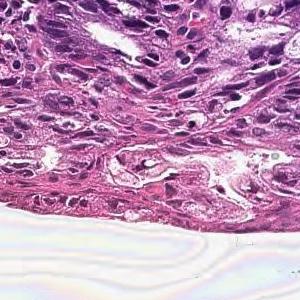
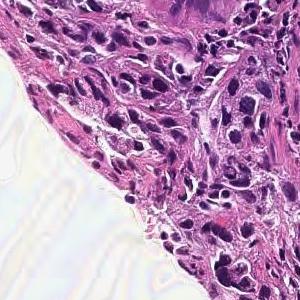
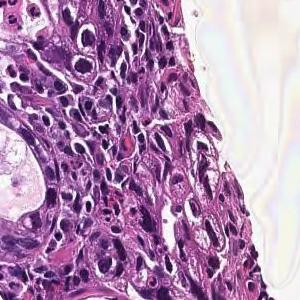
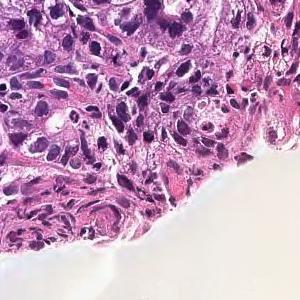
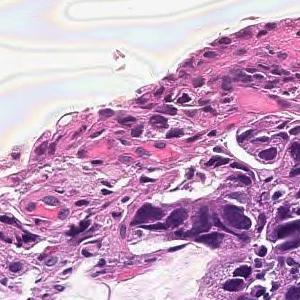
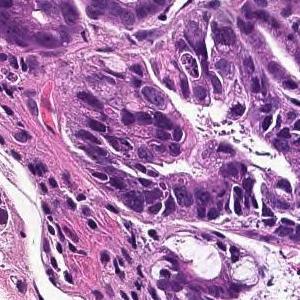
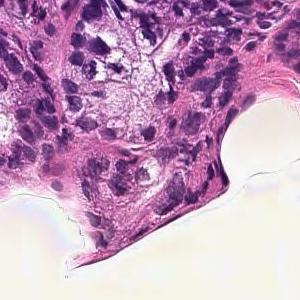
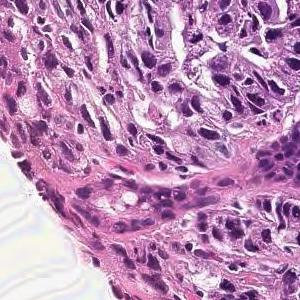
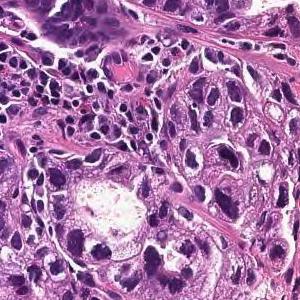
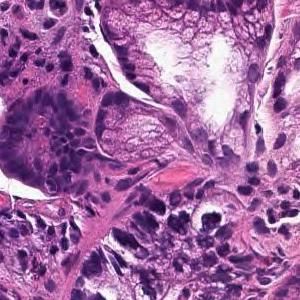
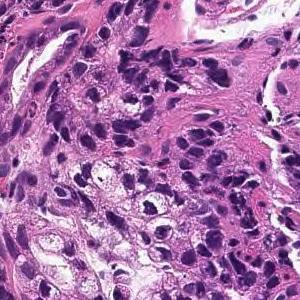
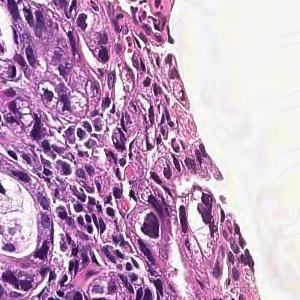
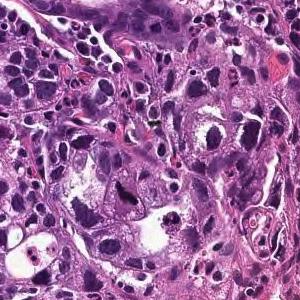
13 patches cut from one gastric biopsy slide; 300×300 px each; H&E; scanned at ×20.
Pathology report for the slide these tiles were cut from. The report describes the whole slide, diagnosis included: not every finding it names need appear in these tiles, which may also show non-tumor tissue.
In the superficial epithelium, tumor tissue that invades by forming medium-sized to small, irregular ducts is observed. moderately differentiated tubular adenocarcinoma.
